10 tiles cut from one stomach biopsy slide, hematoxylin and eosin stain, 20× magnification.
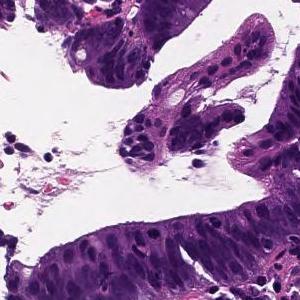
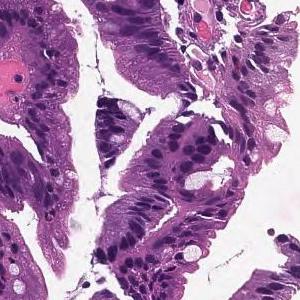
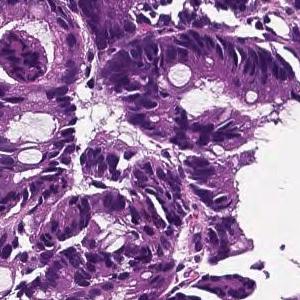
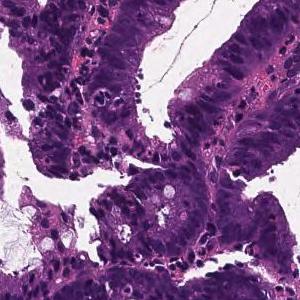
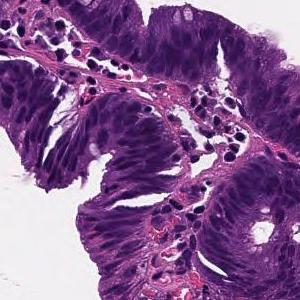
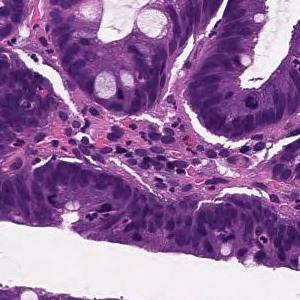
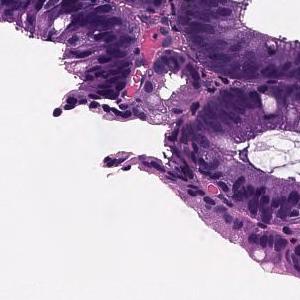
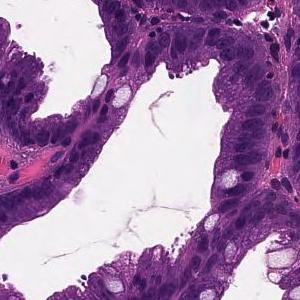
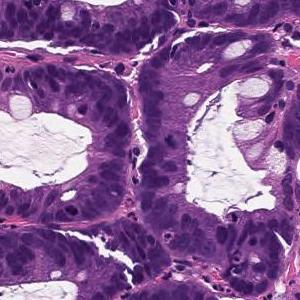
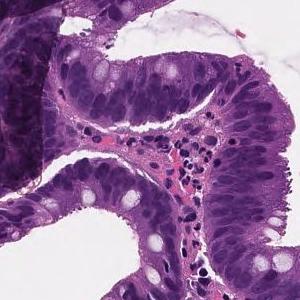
Pathology report for the slide these tiles were cut from. The report describes the whole slide, diagnosis included: not every finding it names need appear in these tiles, which may also show non-tumor tissue.
moderately differentiated tubular adenocarcinoma infiltrates in the submucosa massively.
Histologic type: Moderately differentiated tubular adenocarcinoma.
